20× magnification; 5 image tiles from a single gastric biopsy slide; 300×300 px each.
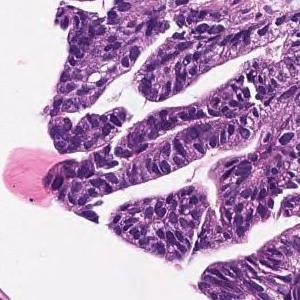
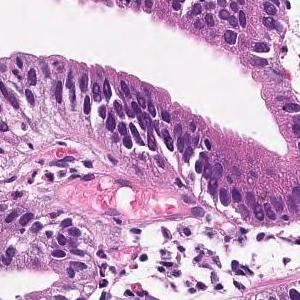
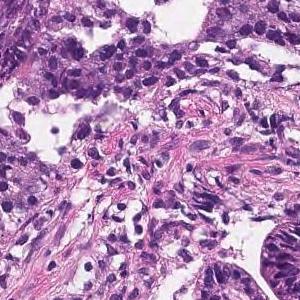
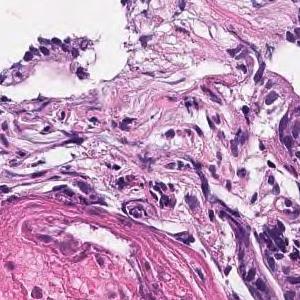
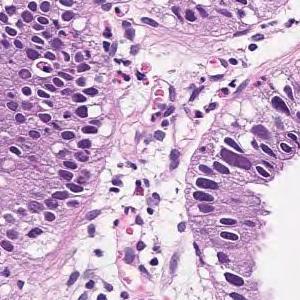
Pathology report for the slide these tiles were cut from. Both the report and the diagnosis are for the whole slide: these tiles need not show every feature named, and some of the tissue shown may not be tumor.
In the superficial epithelium, tumor tissue that invades by forming medium-sized to small, irregular ducts is observed. Moderately differentiated adenocarcinoma.
Histological subtype: Moderately differentiated tubular adenocarcinoma.
